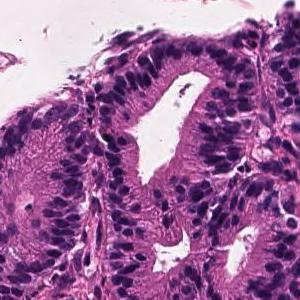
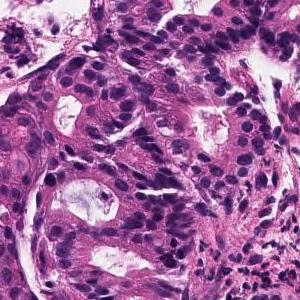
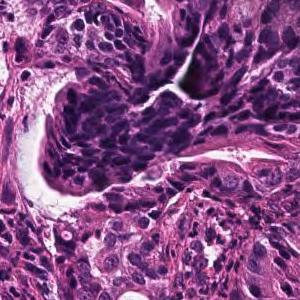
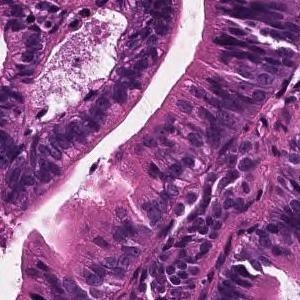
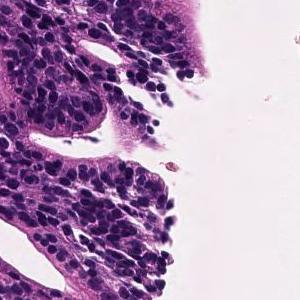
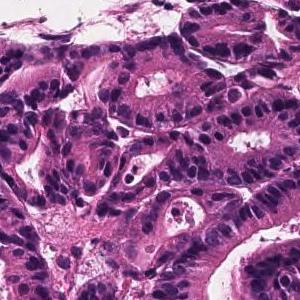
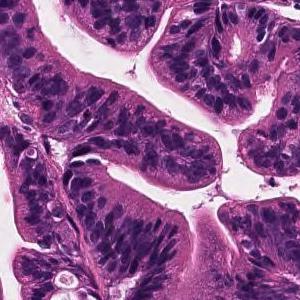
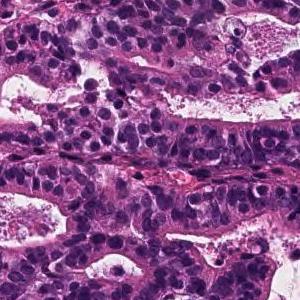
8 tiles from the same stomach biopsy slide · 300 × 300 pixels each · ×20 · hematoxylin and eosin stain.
Pathology report for the biopsy slide these tiles were cut from. Both the report and the diagnosis are for the whole slide: these tiles need not show every feature named, and some of the tissue shown may not be tumor.
In the superficial epithelium, tumor tissue that invades by forming medium-sized to small, irregular ducts is observed. Moderately differentiated adenocarcinoma.
Subtype: Moderately differentiated tubular adenocarcinoma.
